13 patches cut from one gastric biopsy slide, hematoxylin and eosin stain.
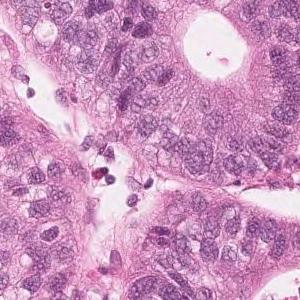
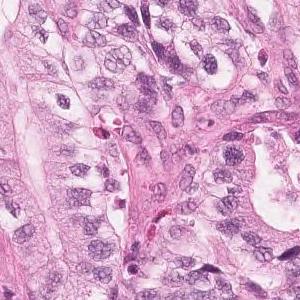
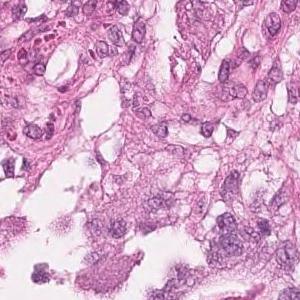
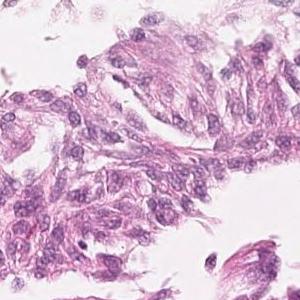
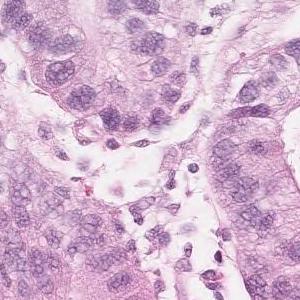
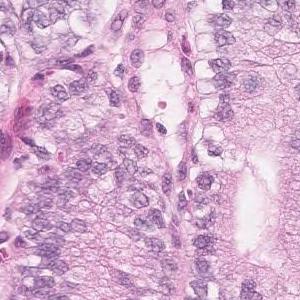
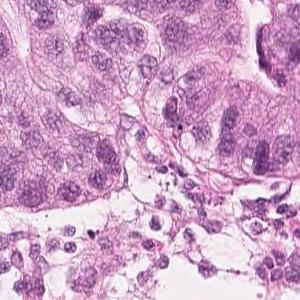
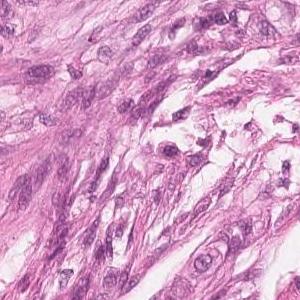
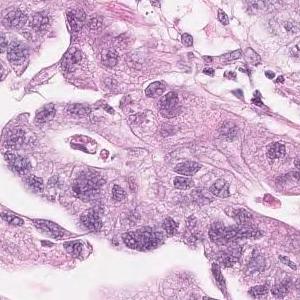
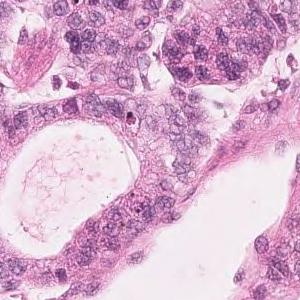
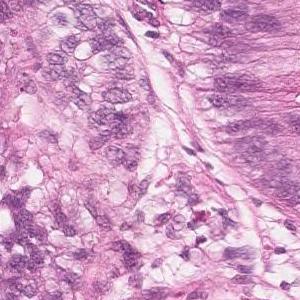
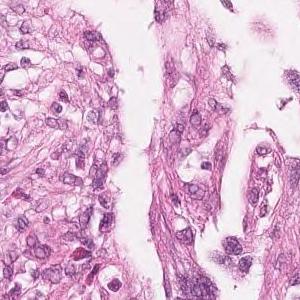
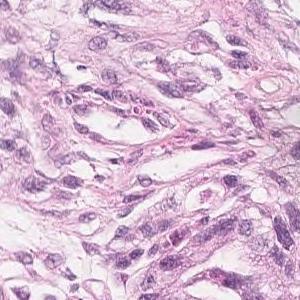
Pathology report for the slide these tiles were cut from. Both the report and the diagnosis are for the whole slide: these tiles need not show every feature named, and some of the tissue shown may not be tumor.
Highly columnar epithelium with disordered nuclear localization proliferates showing fusion ductal construction. moderately differentiated tubular adenocarcinoma
